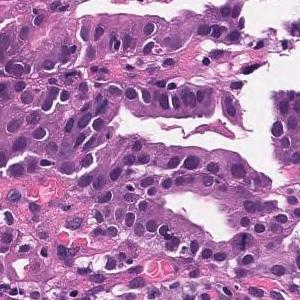
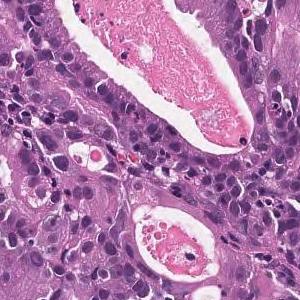
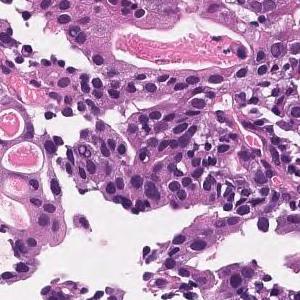
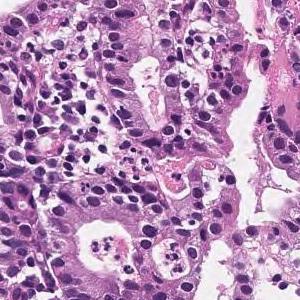
4 image tiles from a single gastric biopsy slide · 300×300 px each · H&E stain · scanned at ×20.
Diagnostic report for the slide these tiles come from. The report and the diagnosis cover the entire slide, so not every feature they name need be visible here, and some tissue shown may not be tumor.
Medium to small, irregular glandular ducts are formed in the superficial epithelium, and in some cases, the glandular ducts are fused to show solid alveolar lesions and infiltrating tumor tissue is observed. Moderately to poorly differentiated adenocarcinoma.
